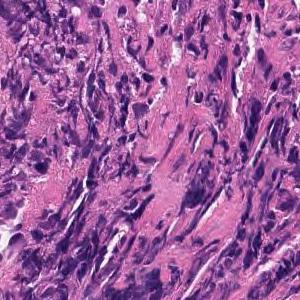
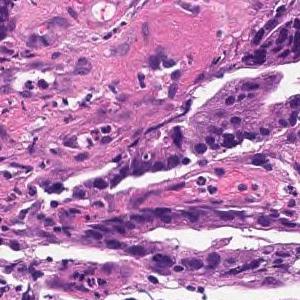
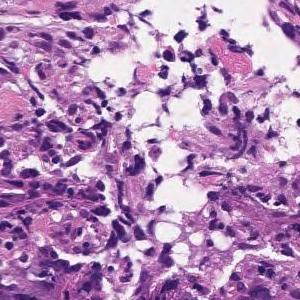
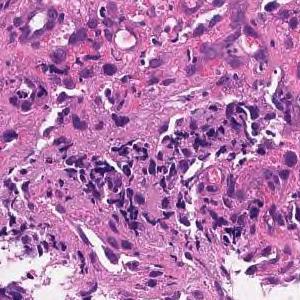
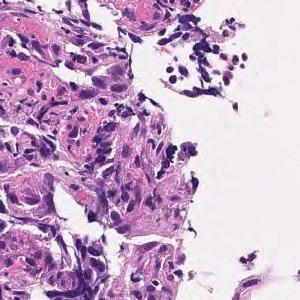
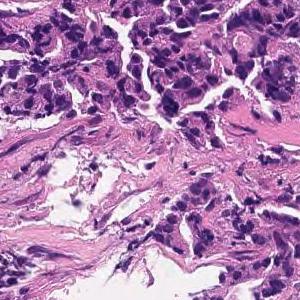
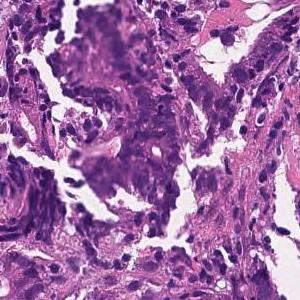
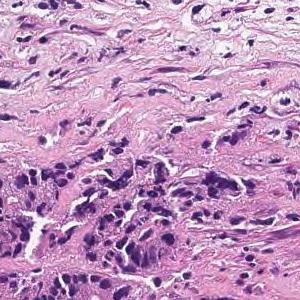
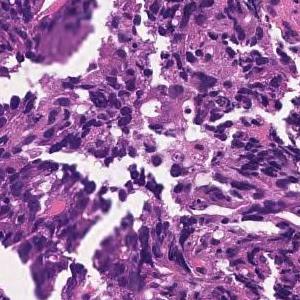
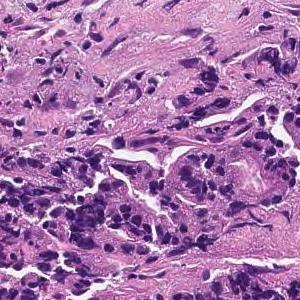
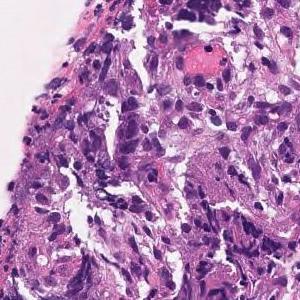
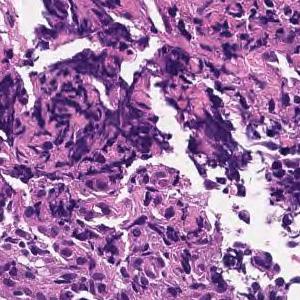
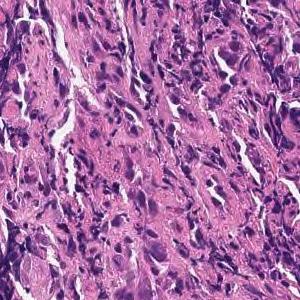
20× magnification · 13 tiles cut from one stomach biopsy slide · each 300 × 300 pixels.
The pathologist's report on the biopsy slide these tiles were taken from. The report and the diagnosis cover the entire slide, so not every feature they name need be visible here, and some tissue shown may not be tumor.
Tumor tissue consisting of medium-sized, cord-like or irregular glandular infiltration is observed in the superficial epithelium. Poorly differentiated adenocarcinoma, non-solid type or moderately differentiated tubular adenocarcinoma
Subtype: Moderately to poorly differentiated adenocarcinoma.
The term "non-solid type" comes from the Japanese Classification of Gastric Carcinoma.
